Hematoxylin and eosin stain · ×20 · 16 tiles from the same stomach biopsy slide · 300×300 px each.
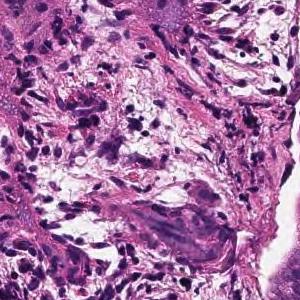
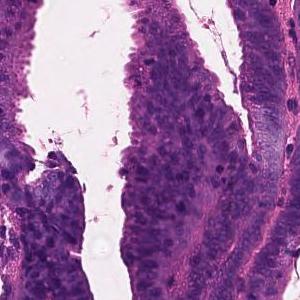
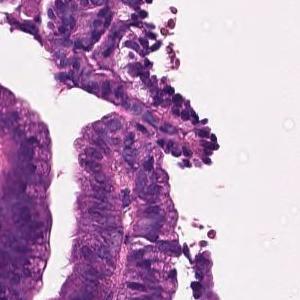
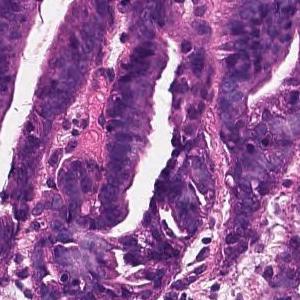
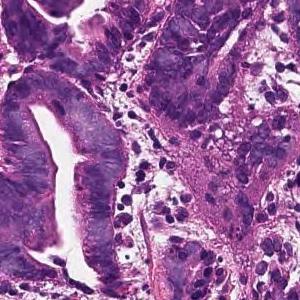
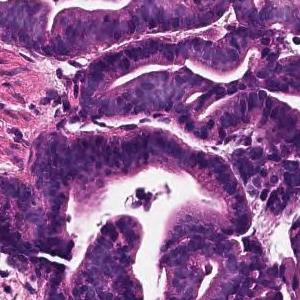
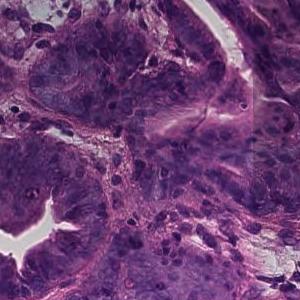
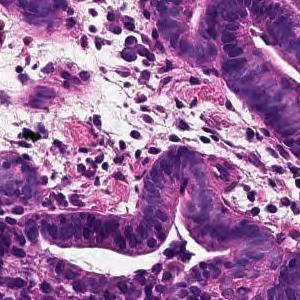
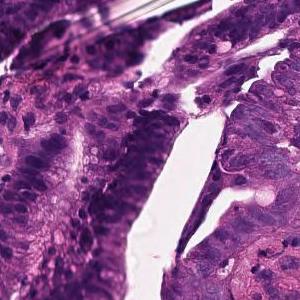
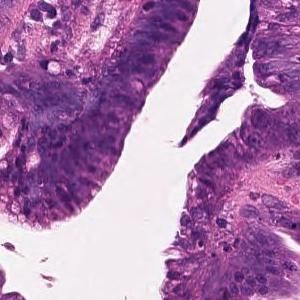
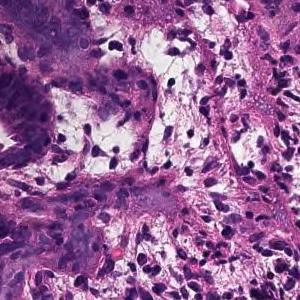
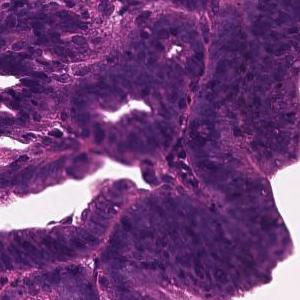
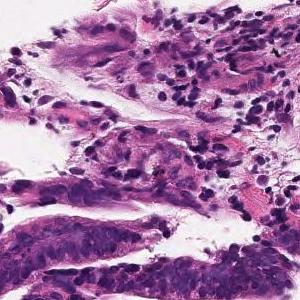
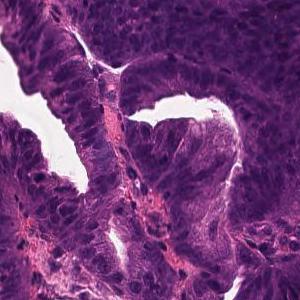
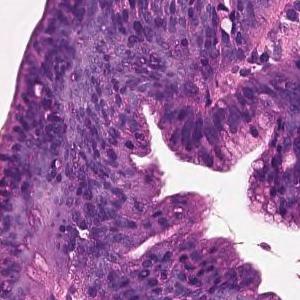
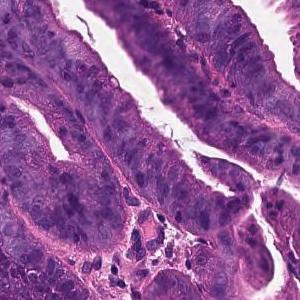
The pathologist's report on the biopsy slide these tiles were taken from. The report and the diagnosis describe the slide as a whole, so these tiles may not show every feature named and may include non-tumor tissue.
Tumor cells are large, highly columnar, large club-shaped nuclei, and are associated with chromatin aggregation. Papillary adenocarcinoma.
